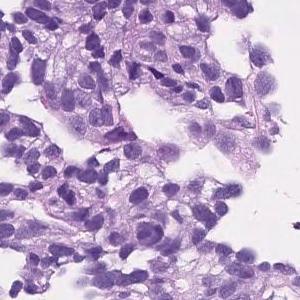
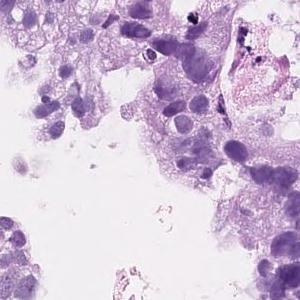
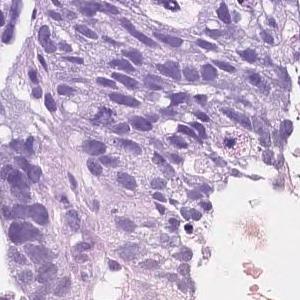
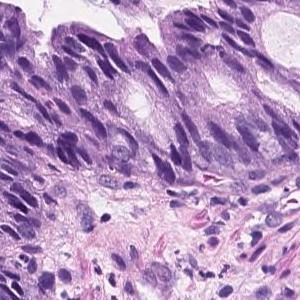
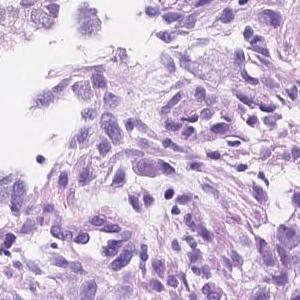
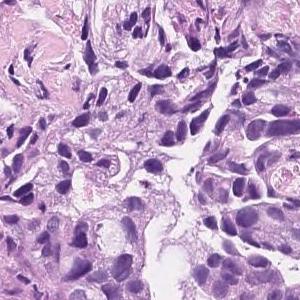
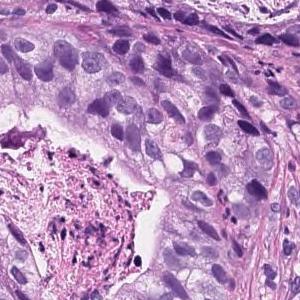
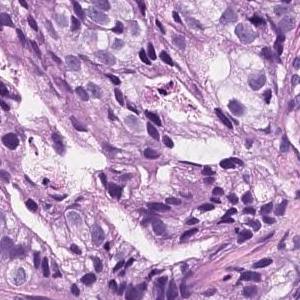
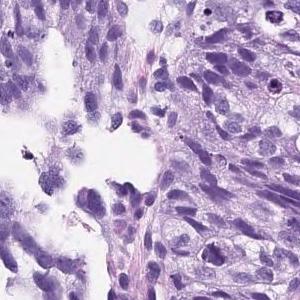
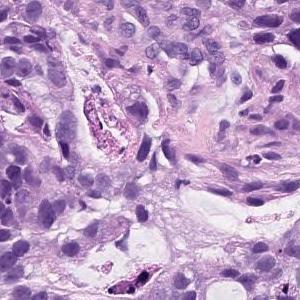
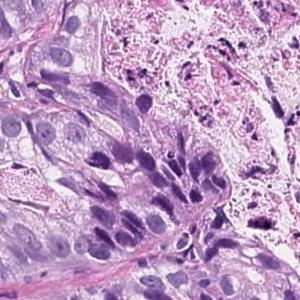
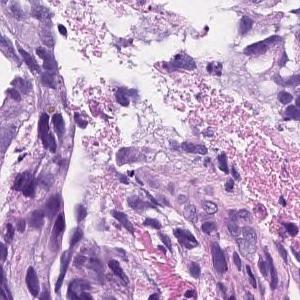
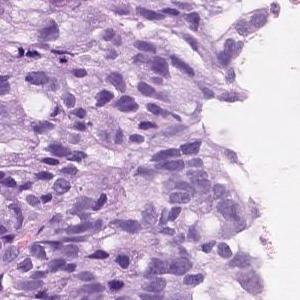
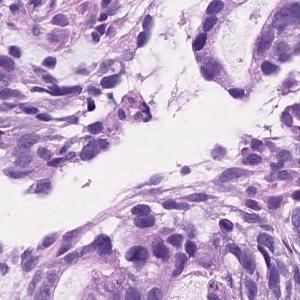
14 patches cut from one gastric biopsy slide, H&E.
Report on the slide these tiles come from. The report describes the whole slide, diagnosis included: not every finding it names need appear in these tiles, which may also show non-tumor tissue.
On the superficial epithelium, tumor tissue consisting of an image of large, irregular glandular ducts partially fused and infiltrated is observed. Well to moderately differentiated tubular adenocarcinoma
